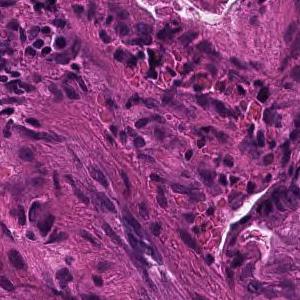
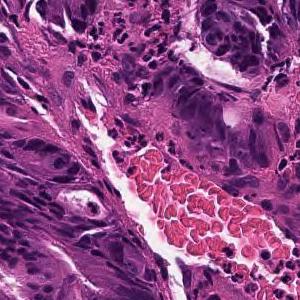
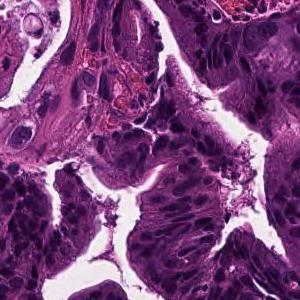
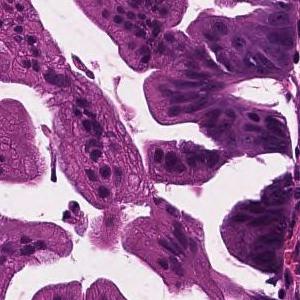
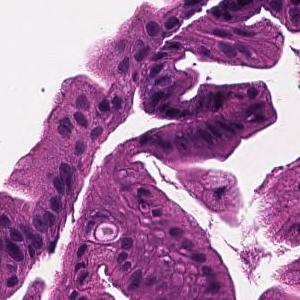
Hematoxylin and eosin stain; 20× magnification; 5 patches cut from one gastric biopsy slide.
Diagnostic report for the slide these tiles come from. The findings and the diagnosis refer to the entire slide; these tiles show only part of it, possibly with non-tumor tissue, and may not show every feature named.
Tumor cells are large, highly columnar, large club-shaped nuclei, and are associated with chromatin aggregation. Papillary adenocarcinoma.
